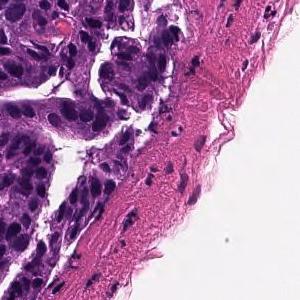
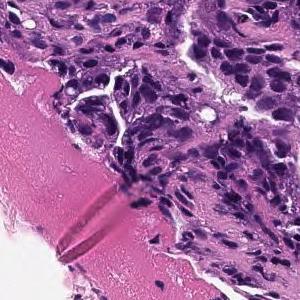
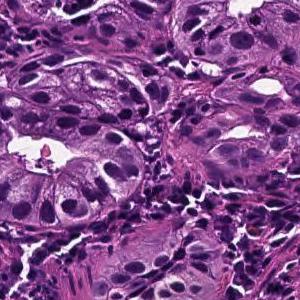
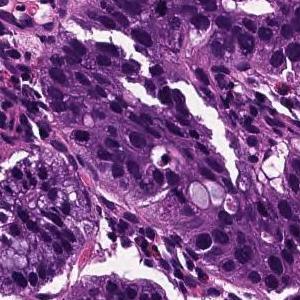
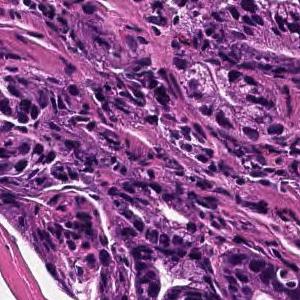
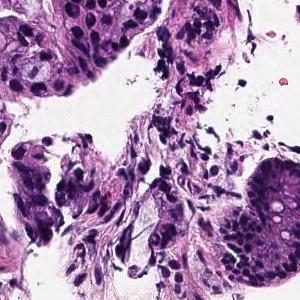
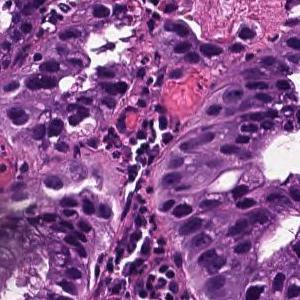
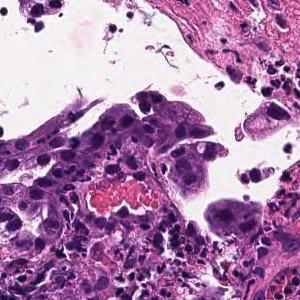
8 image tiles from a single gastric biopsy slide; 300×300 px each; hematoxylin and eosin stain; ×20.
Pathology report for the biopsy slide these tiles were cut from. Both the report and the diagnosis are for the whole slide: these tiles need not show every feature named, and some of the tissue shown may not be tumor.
In the superficial epithelium, tumor tissue that invades by forming medium-sized to small, irregular ducts is observed. moderately differentiated tubular adenocarcinoma.
